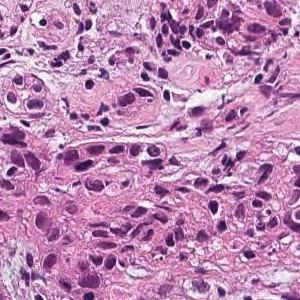
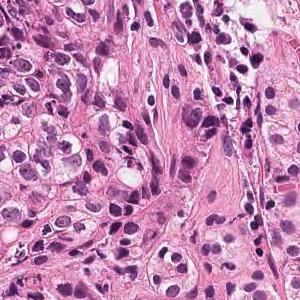
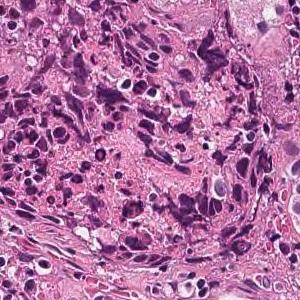
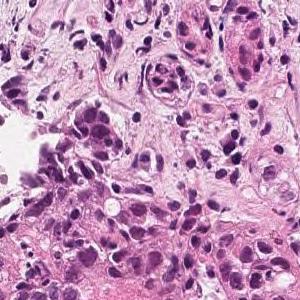
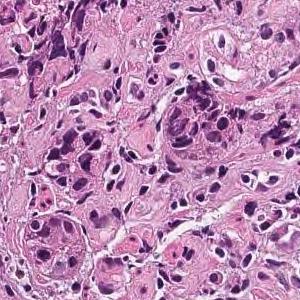
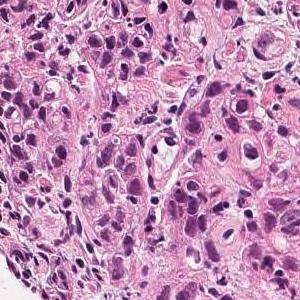
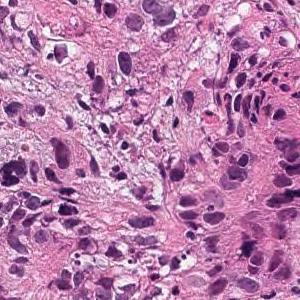
7 tiles cut from one stomach biopsy slide · hematoxylin and eosin stain · scanned at ×20.
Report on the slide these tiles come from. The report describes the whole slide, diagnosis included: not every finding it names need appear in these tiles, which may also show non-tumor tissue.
Medium to small, irregular glandular ducts are formed in the superficial epithelium, and in some cases, the glandular ducts are fused to show solid alveolar lesions and infiltrating tumor tissue is observed. Moderately to poorly differentiated adenocarcinoma.
